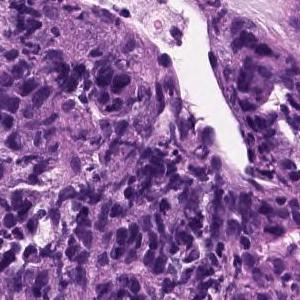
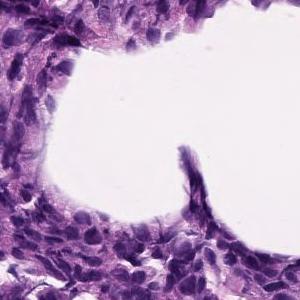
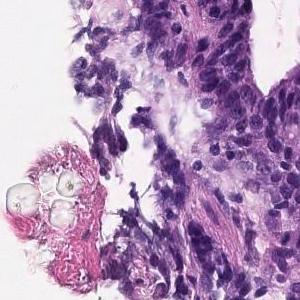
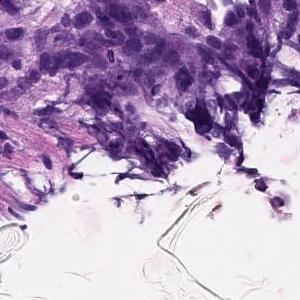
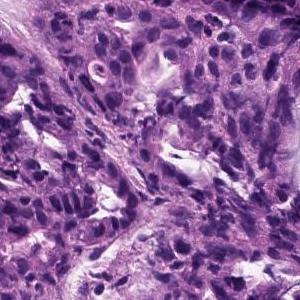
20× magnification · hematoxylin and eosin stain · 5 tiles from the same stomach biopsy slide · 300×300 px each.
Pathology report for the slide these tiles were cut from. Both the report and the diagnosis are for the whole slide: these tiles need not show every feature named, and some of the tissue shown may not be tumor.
Group 5, Adenocarcinoma. Poorly differentiated adenocarcinoma, non-solid type
The term "non-solid type" comes from the Japanese Classification of Gastric Carcinoma.
